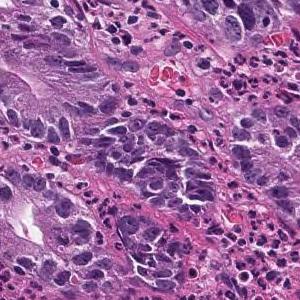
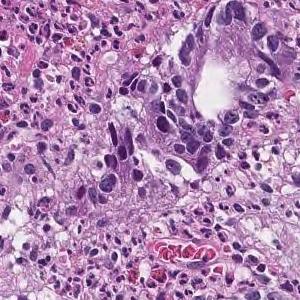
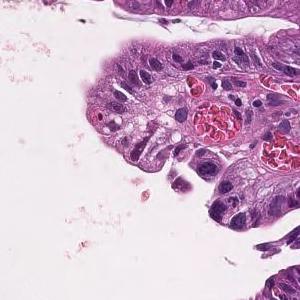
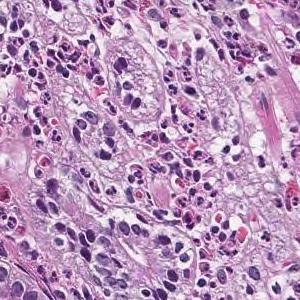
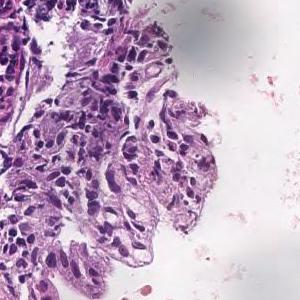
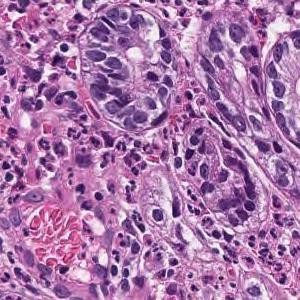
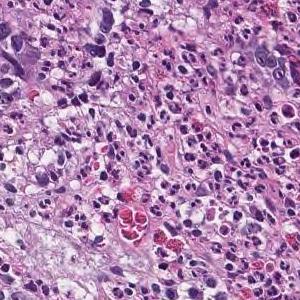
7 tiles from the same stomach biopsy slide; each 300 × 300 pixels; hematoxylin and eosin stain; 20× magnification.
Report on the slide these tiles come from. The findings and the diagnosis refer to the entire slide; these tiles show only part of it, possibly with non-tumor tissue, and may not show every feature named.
Tumor cells are large, highly columnar, large club-shaped nuclei, and are associated with chromatin aggregation. Papillary adenocarcinoma.
